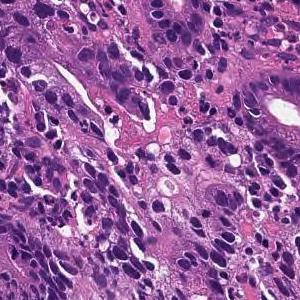
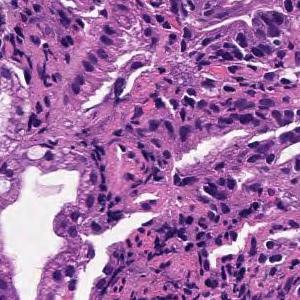
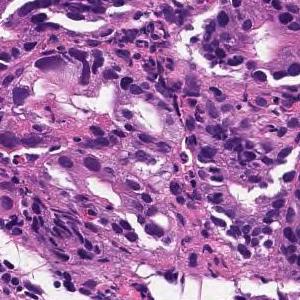
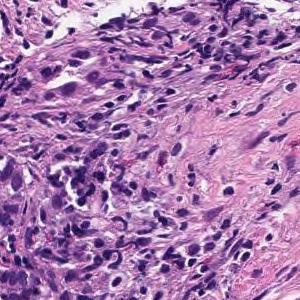
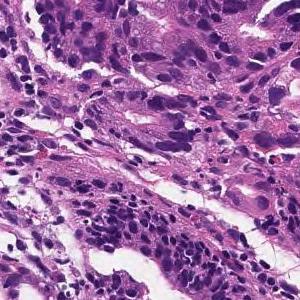
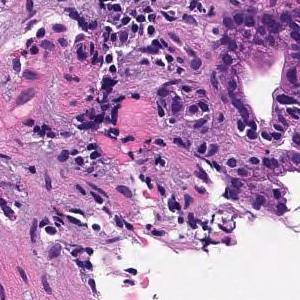
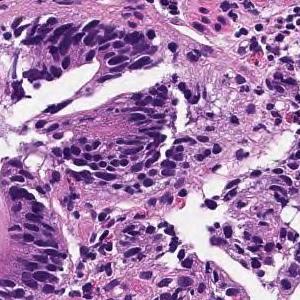
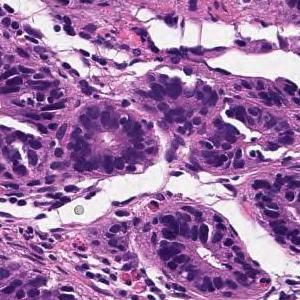
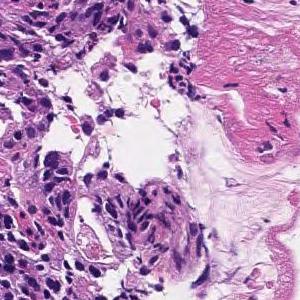
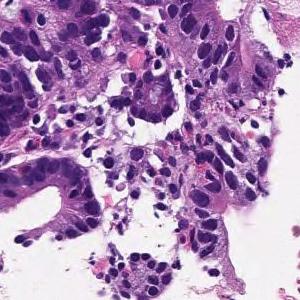
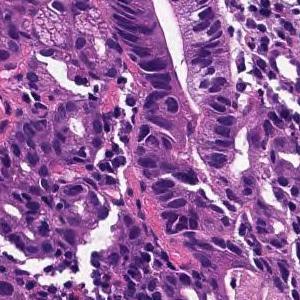
11 image tiles from a single gastric biopsy slide, scanned at ×20.
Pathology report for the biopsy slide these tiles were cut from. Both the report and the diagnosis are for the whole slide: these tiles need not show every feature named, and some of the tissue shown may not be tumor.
In the superficial epithelium, tumor tissue that invades by forming medium-sized to small, irregular ducts is observed. moderately differentiated tubular adenocarcinoma.
